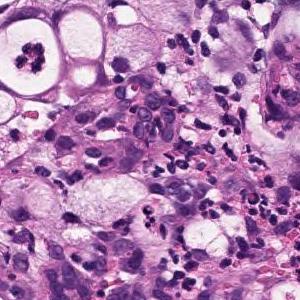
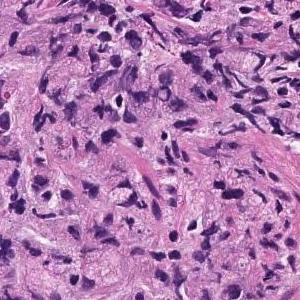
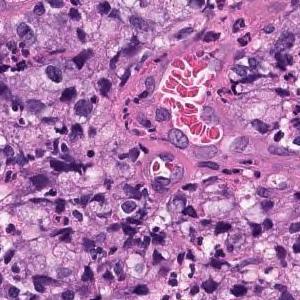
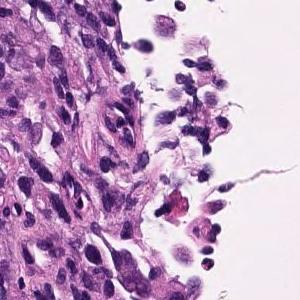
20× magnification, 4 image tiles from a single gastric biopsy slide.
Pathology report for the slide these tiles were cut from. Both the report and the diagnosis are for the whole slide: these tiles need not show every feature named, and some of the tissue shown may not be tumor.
Atypical epithelium forms irregularly fused gland ducts and proliferates. Poorly differentiated adenocarcinoma.
Subtype: Poorly differentiated adenocarcinoma, non-solid type.
The term "non-solid type" comes from the Japanese Classification of Gastric Carcinoma.
